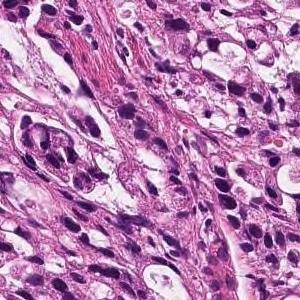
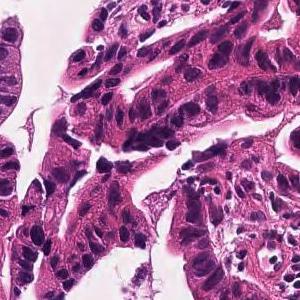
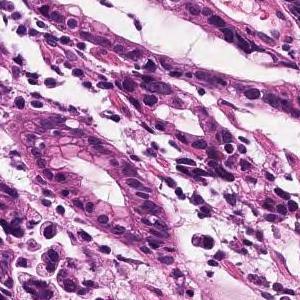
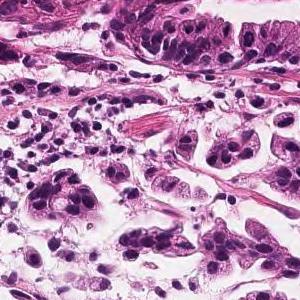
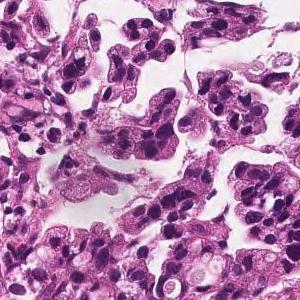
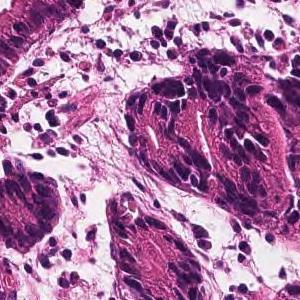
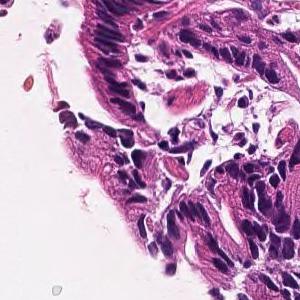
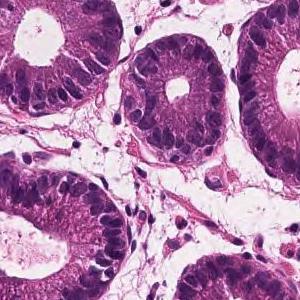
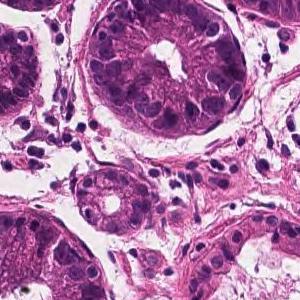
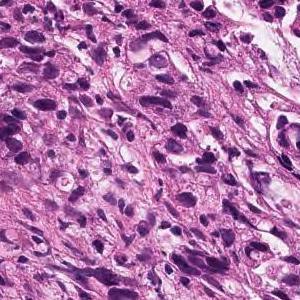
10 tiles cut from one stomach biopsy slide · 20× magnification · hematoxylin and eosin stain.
The pathologist's report on the biopsy slide these tiles were taken from. Both the report and the diagnosis are for the whole slide: these tiles need not show every feature named, and some of the tissue shown may not be tumor.
In the superficial epithelium, tumor tissue that invades by forming medium-sized to small, irregular ducts is observed. moderately differentiated tubular adenocarcinoma.
